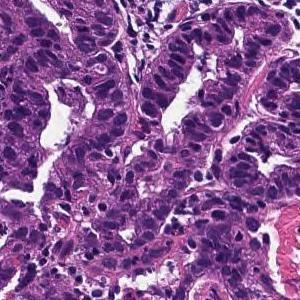
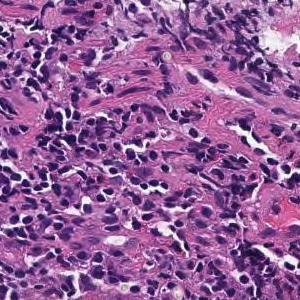
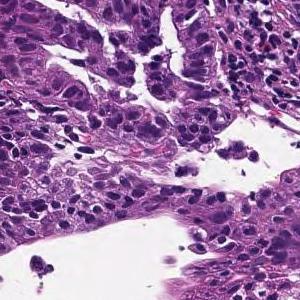
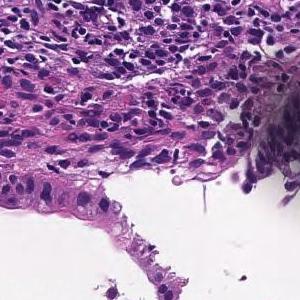
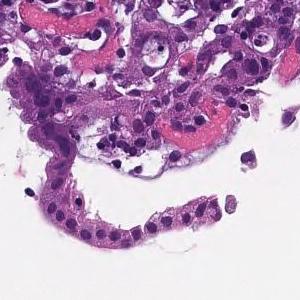
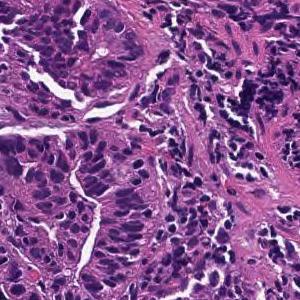
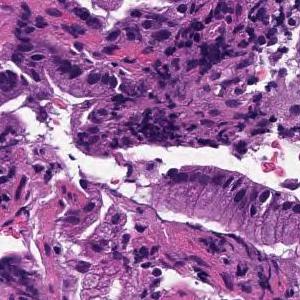
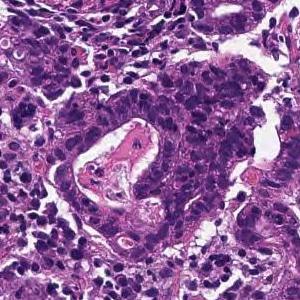
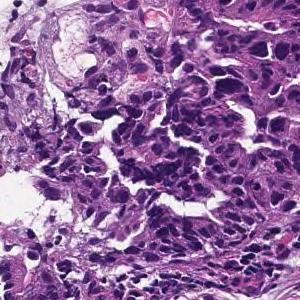
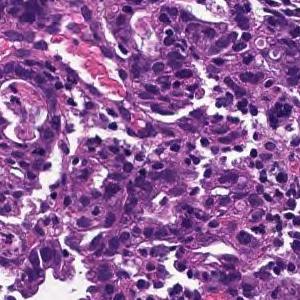
10 patches cut from one gastric biopsy slide; 300×300 px each; H&E; 20× magnification.
Report on the slide these tiles come from. The report and the diagnosis cover the entire slide, so not every feature they name need be visible here, and some tissue shown may not be tumor.
On the superficial epithelium, tumor tissue consisting of large irregular glandular ducts partially fused and infiltrated is observed. Well to moderately differentiated tubular adenocarcinoma (well differentiated tubular adenocarcinoma, moderately differentiated tubular adenocarcinoma)
Histological subtype: Well to moderately differentiated tubular adenocarcinoma.
